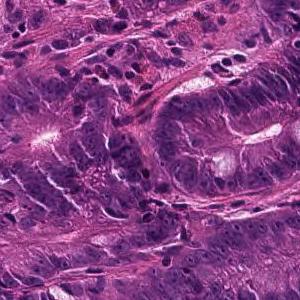
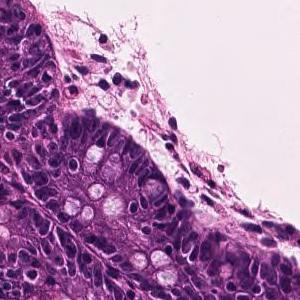
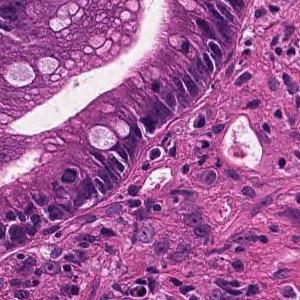
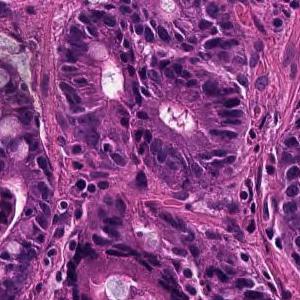
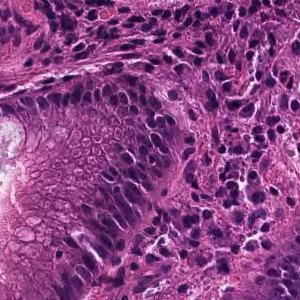
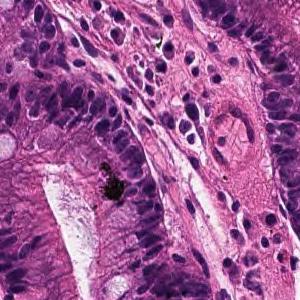
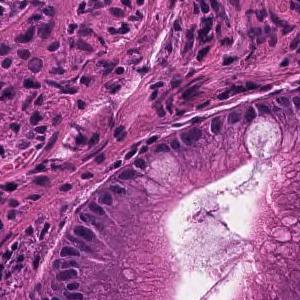
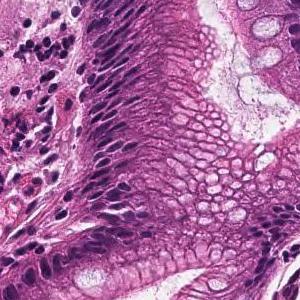
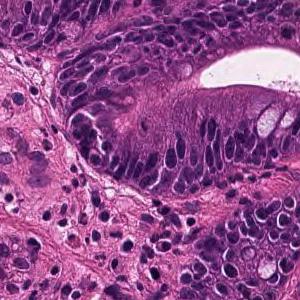
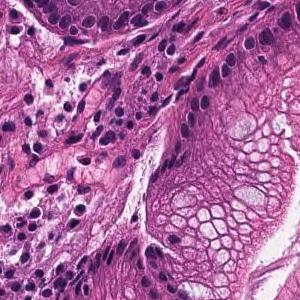
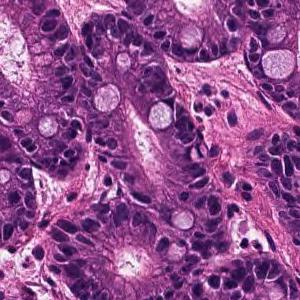
11 patches cut from one gastric biopsy slide; 300 × 300 pixels each; H&E stain.
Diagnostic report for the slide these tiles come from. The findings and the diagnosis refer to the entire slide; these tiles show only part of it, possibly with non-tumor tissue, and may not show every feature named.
Medium to small, irregular glandular ducts are formed in the superficial epithelium, and in some cases, the glandular ducts are fused to show solid alveolar lesions and infiltrating tumor tissue is observed. Moderately to poorly differentiated adenocarcinoma.
